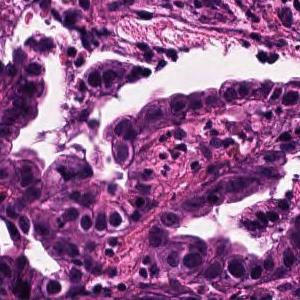
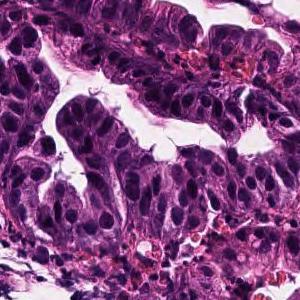
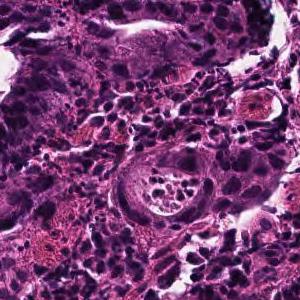
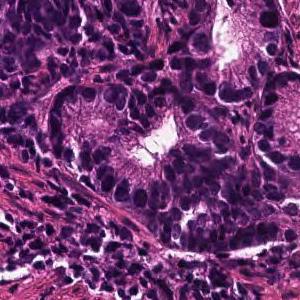
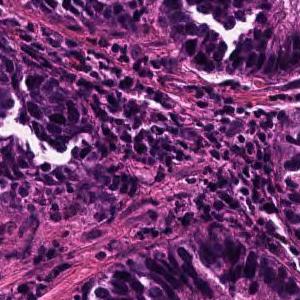
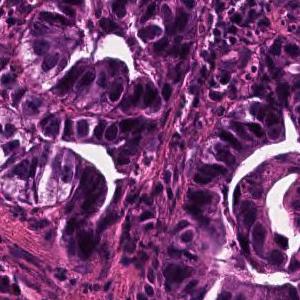
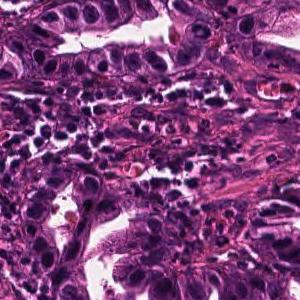
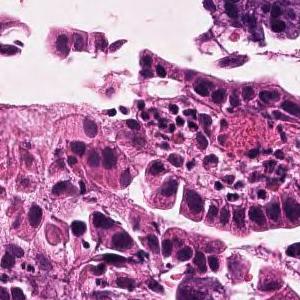
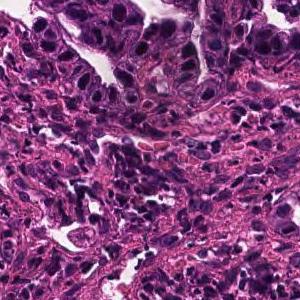
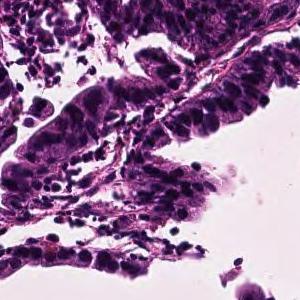
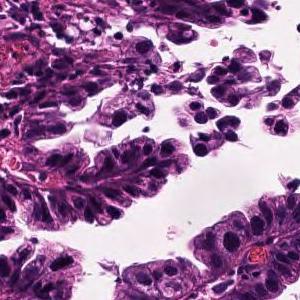
11 patches cut from one gastric biopsy slide · each 300 × 300 pixels · ×20.
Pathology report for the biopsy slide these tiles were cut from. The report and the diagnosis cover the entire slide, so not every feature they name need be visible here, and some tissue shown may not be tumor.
Tumor tissue consisting of large papillary structures is found in the superficial epithelium. Papillary adenocarcinoma.
